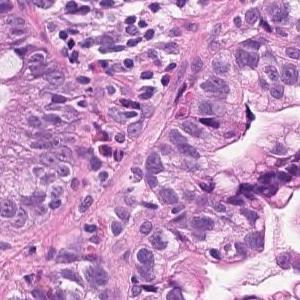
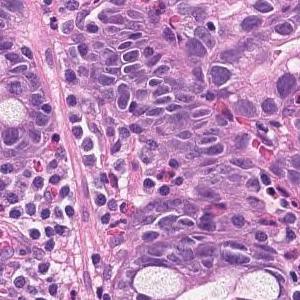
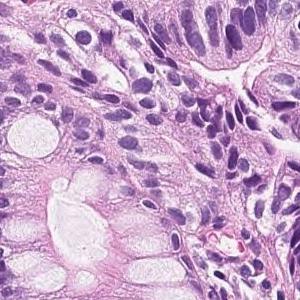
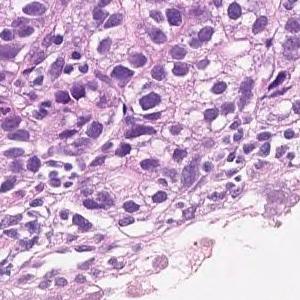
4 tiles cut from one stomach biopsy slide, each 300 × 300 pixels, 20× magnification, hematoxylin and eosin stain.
The pathologist's report on the biopsy slide these tiles were taken from. What the report and the diagnosis say applies to the whole slide; these tiles may miss some of the features named and may include tissue that is not tumor.
On the superficial epithelium, there is a tumor tissue consisting of medium to small, irregular tubules that are partially fused and proliferated. Well to moderately differentiated tubular adenocarcinoma
